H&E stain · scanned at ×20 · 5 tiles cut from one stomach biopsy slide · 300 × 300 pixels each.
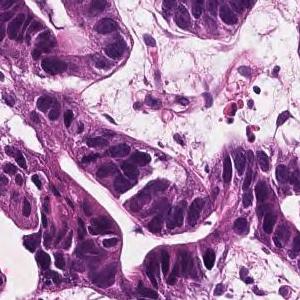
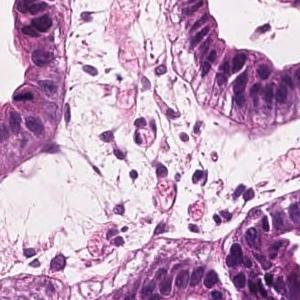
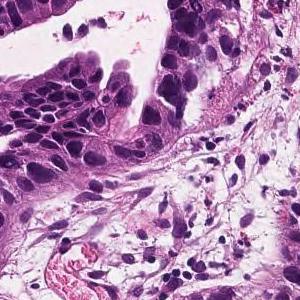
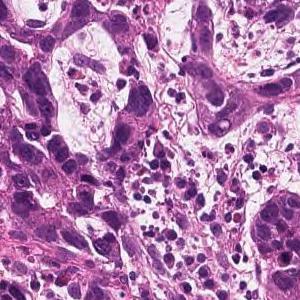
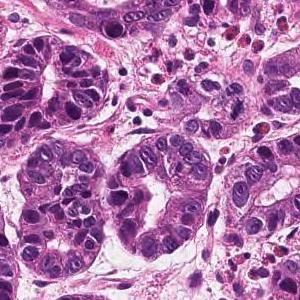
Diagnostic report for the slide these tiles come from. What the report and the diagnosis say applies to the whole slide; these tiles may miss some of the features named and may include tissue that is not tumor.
In the superficial epithelium, tumor tissue that invades by forming medium-sized to small, irregular ducts is observed. Well differentiated tubular adenocarcinoma.
